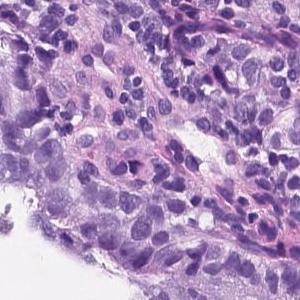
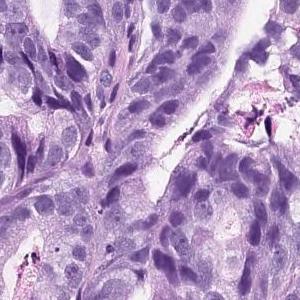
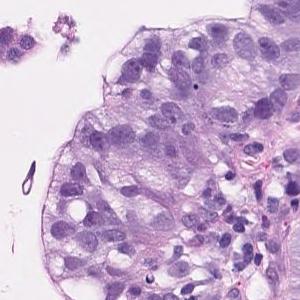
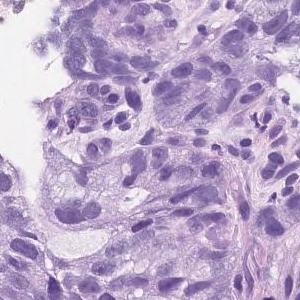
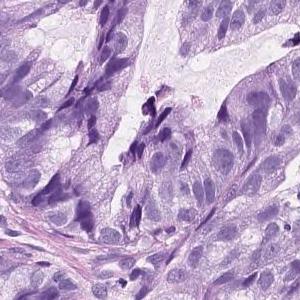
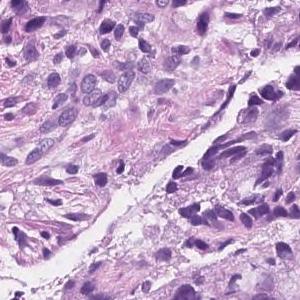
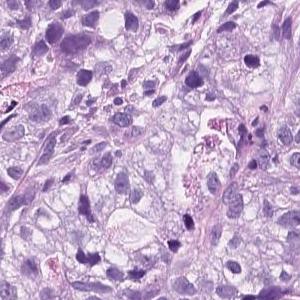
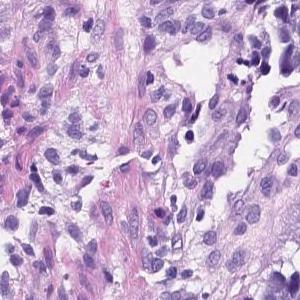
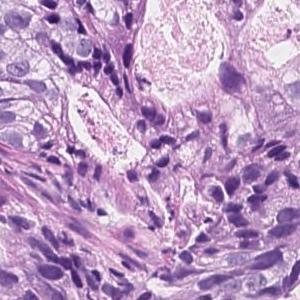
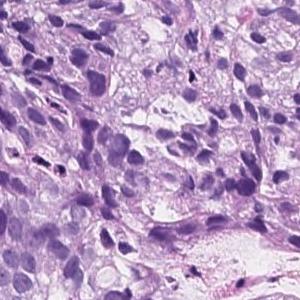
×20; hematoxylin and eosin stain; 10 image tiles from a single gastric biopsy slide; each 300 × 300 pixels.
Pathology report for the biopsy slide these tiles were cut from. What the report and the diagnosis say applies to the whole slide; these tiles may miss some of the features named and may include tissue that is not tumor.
On the superficial epithelium, tumor tissue consisting of an image of large, irregular glandular ducts partially fused and infiltrated is observed. Well to moderately differentiated tubular adenocarcinoma
